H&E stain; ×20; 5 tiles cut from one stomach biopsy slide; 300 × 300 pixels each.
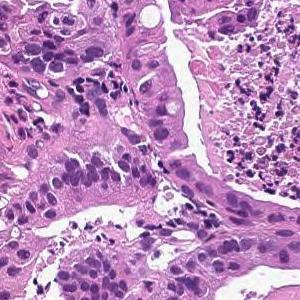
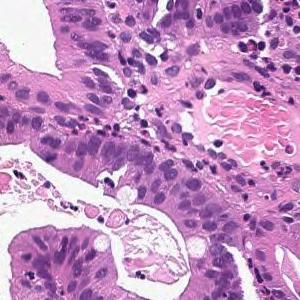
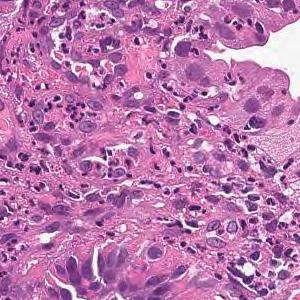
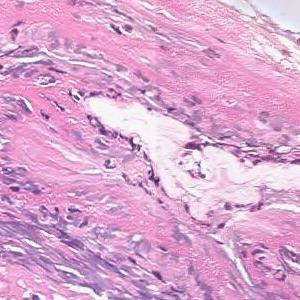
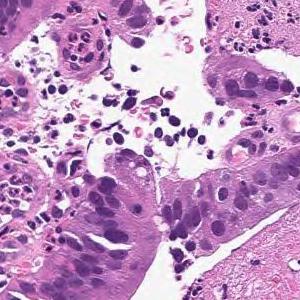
Diagnostic report for the slide these tiles come from. The report and the diagnosis describe the slide as a whole, so these tiles may not show every feature named and may include non-tumor tissue.
From the superficial epithelium to the muscularis mucosae, tumor tissue consisting of medium-sized and irregular glandular ducts infiltrating is observed. Well differentiated tubular adenocarcinoma
